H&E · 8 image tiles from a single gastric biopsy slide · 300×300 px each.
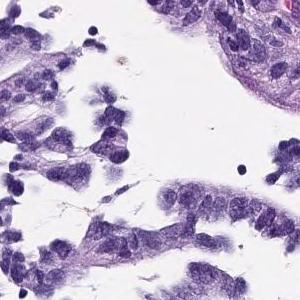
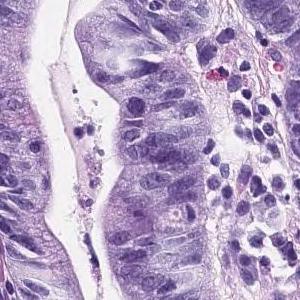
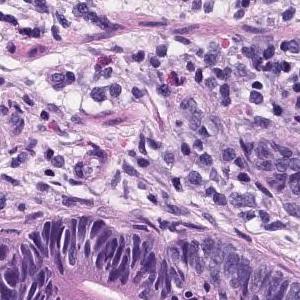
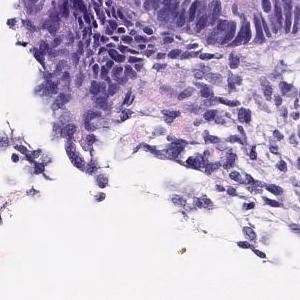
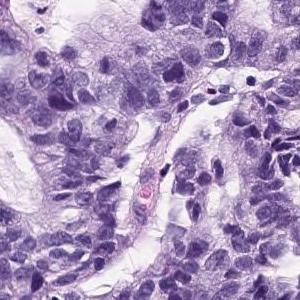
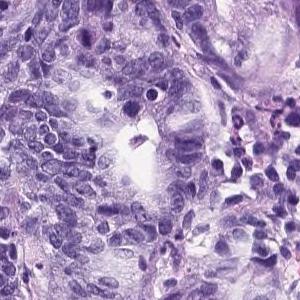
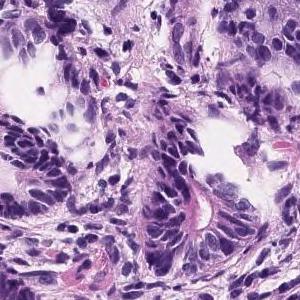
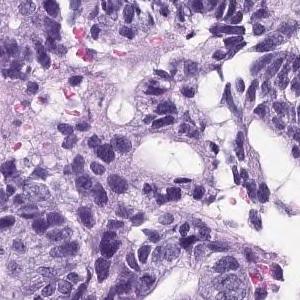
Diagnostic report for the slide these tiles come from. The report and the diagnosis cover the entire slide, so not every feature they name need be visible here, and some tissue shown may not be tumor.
On the superficial epithelium, tumor tissue consisting of medium-sized to large-sized, round or irregular glandular duct growth images is observed. Well differentiated adenocarcinoma.
Classified as well differentiated tubular adenocarcinoma.
